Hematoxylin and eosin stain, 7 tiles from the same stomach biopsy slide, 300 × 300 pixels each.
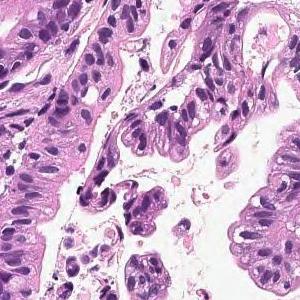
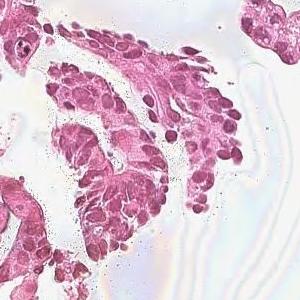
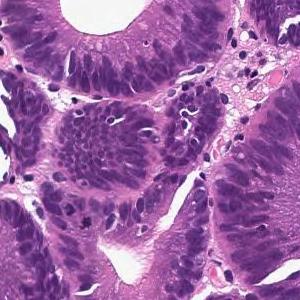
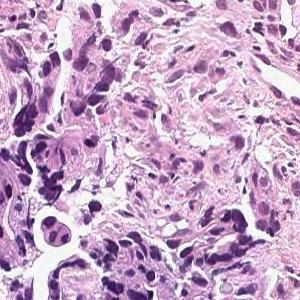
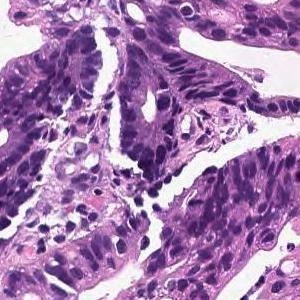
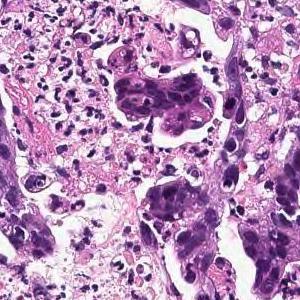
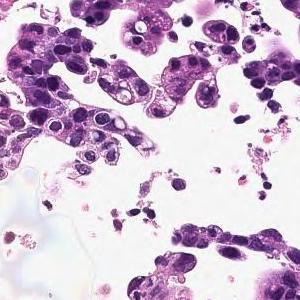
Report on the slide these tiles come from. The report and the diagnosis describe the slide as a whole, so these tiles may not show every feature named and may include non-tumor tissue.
In the superficial epithelium, tumor tissue that invades by forming medium-sized to small, irregular ducts is observed. moderately differentiated tubular adenocarcinoma.
